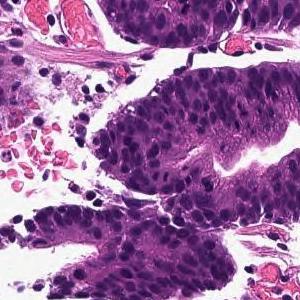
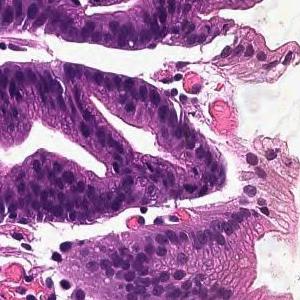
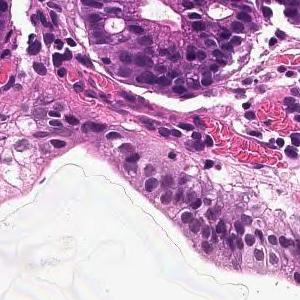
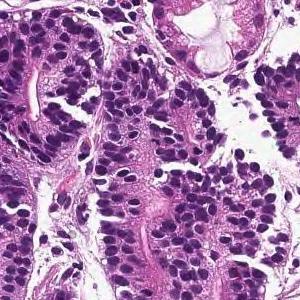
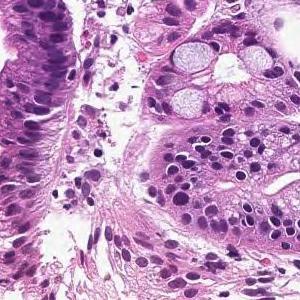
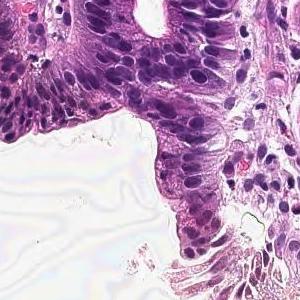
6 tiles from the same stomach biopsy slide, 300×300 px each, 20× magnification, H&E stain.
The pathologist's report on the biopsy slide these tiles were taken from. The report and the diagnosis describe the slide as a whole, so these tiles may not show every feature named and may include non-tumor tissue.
From the superficial epithelium to the muscularis mucosae, tumor tissue consisting of medium-sized and irregular glandular ducts infiltrating is observed. Well differentiated tubular adenocarcinoma
